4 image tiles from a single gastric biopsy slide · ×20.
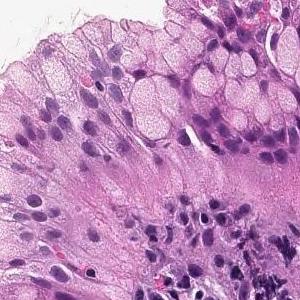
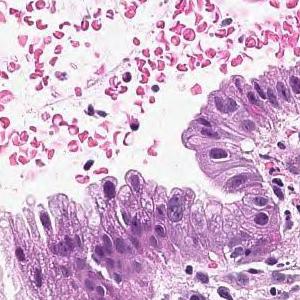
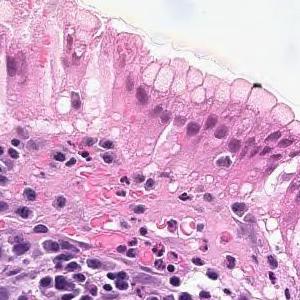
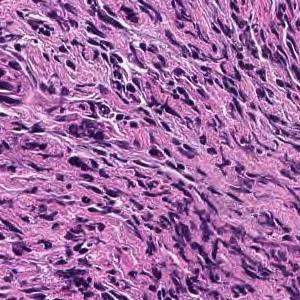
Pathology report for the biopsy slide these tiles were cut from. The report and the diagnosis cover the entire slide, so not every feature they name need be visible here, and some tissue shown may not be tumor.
In the superficial epithelium, tumor tissue that invades by forming medium-sized to small, irregular ducts is observed. moderately differentiated tubular adenocarcinoma.
